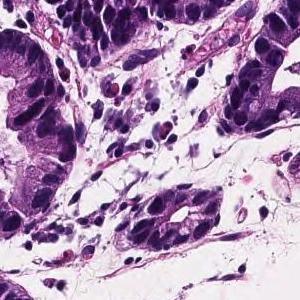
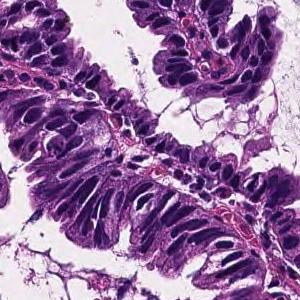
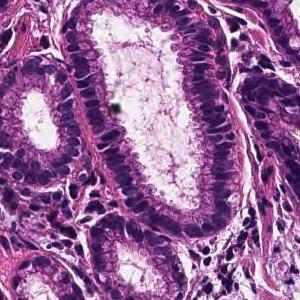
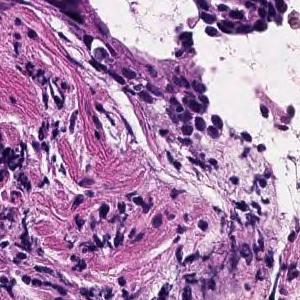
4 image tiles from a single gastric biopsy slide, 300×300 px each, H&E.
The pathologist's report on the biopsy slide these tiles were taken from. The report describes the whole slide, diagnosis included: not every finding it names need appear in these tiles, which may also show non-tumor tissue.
Tumor cells are large, highly columnar, large club-shaped nuclei, and are associated with chromatin aggregation. Papillary adenocarcinoma.
